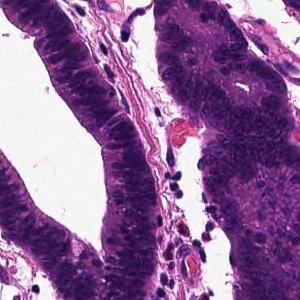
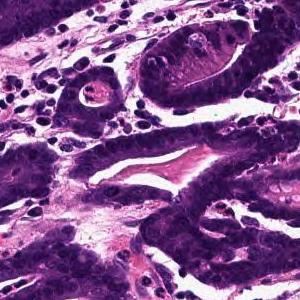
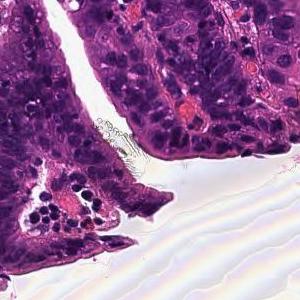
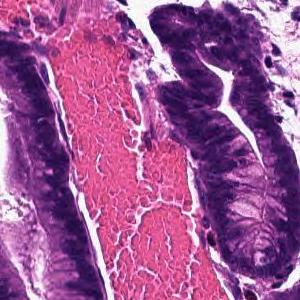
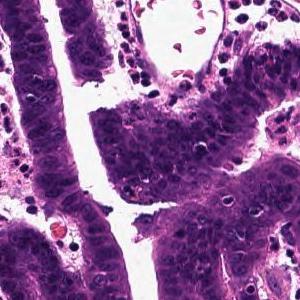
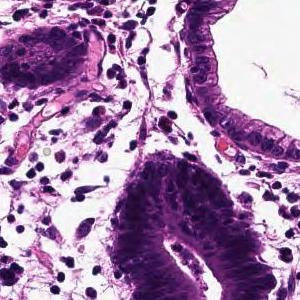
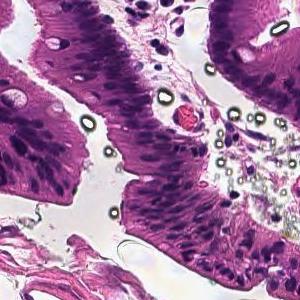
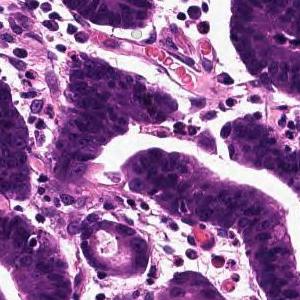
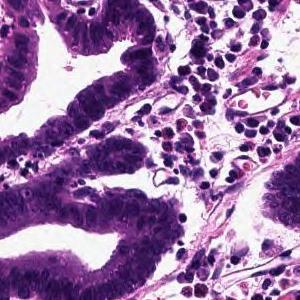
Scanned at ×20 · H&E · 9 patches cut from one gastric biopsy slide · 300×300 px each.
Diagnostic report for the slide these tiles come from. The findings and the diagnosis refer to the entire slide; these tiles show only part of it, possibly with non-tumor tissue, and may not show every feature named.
Tumor tissue that infiltrates by forming large papillary or large irregular glandular ducts is observed confined to the mucosa. Papillary adenocarcinoma
